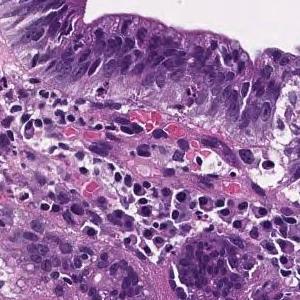
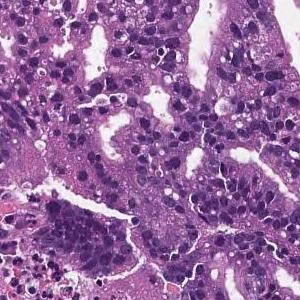
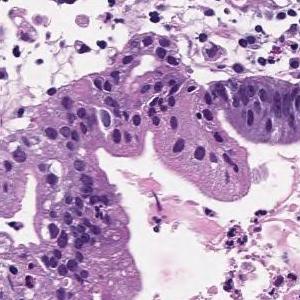
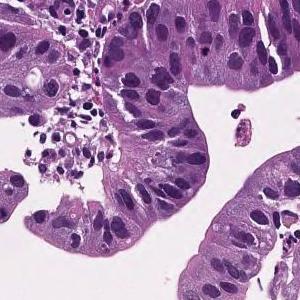
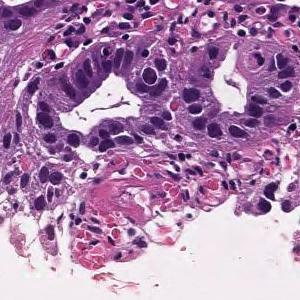
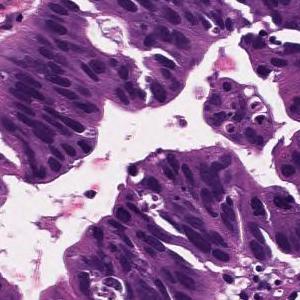
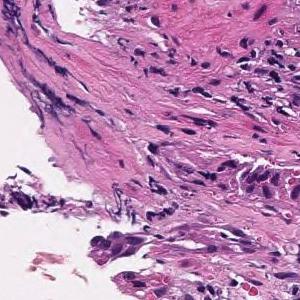
7 tiles cut from one stomach biopsy slide; 300 × 300 pixels each.
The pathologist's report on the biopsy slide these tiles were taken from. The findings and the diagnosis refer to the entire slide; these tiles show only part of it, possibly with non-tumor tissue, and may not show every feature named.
Tumor cells are large, highly columnar, large club-shaped nuclei, and are associated with chromatin aggregation. Papillary adenocarcinoma.
